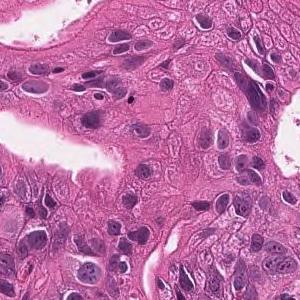
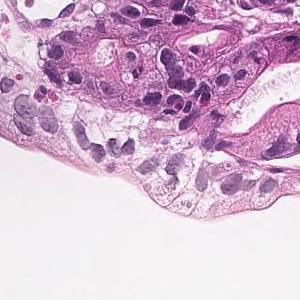
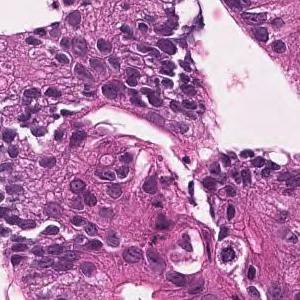
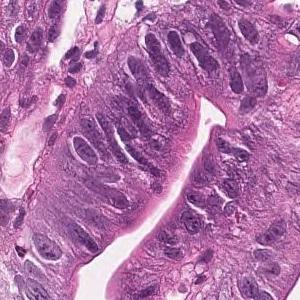
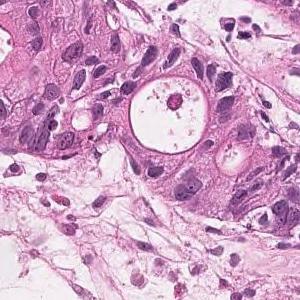
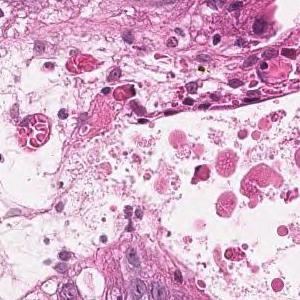
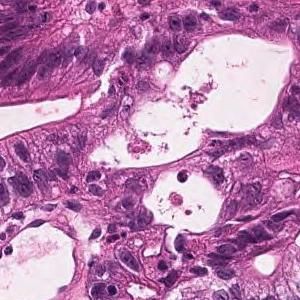
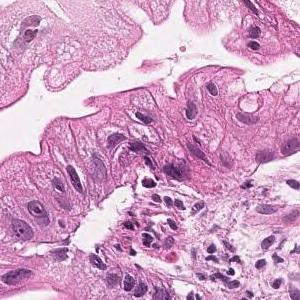
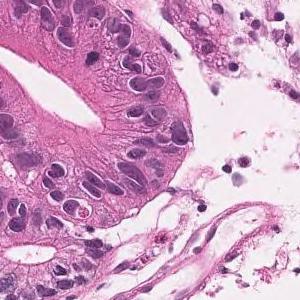
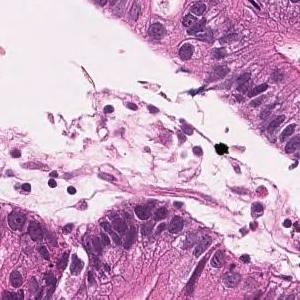
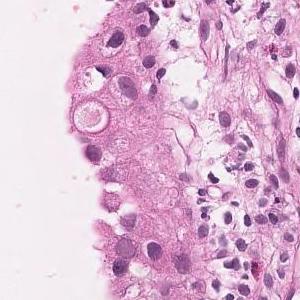
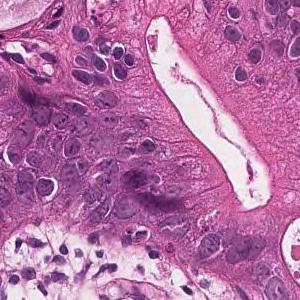
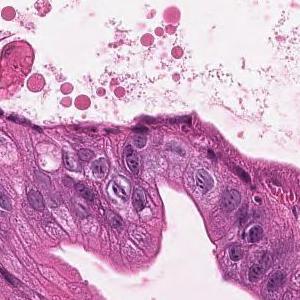
13 tiles from the same stomach biopsy slide · each 300 × 300 pixels · ×20 · hematoxylin and eosin stain.
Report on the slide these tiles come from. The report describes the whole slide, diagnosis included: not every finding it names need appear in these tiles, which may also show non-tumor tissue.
On the superficial epithelium, tumor tissue that infiltrates by forming medium-sized papillary or small irregular ducts is observed. Papillary adenocarcinoma
